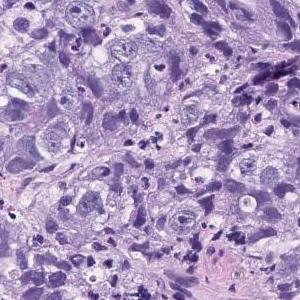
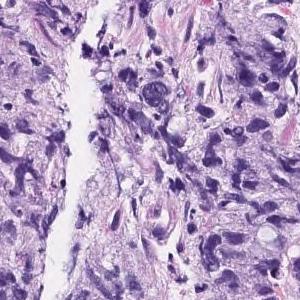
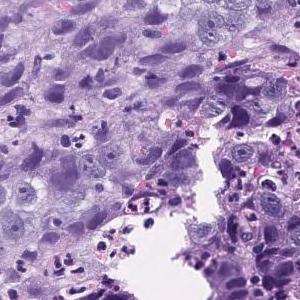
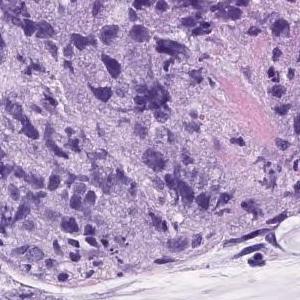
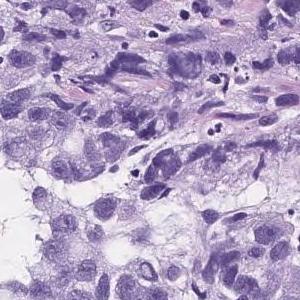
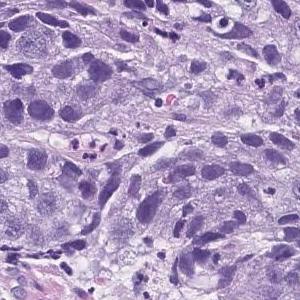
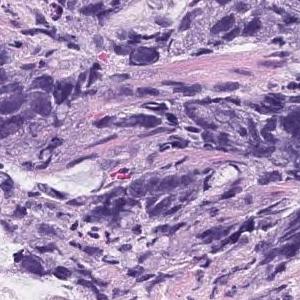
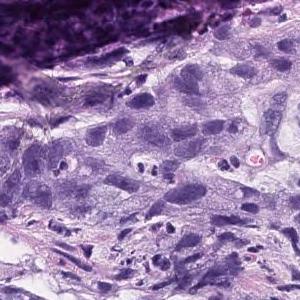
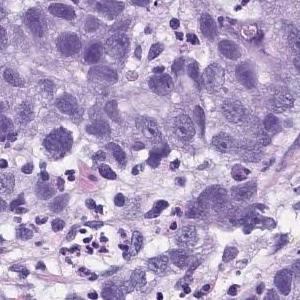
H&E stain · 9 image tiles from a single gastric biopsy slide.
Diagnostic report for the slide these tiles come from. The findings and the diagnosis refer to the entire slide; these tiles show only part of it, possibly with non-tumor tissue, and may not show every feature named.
Atypical l cells with atypical nuclei forming solid vesicles or small irregular atypical ducts that proliferate in a complex manner. poorly differentiated adenocarcinoma, solid type, moderately differentiated tubular adenocarcinoma
The solid type named here is a Japanese Classification of Gastric Carcinoma category; WHO 2019 calls it tubular adenocarcinoma, poorly differentiated.
